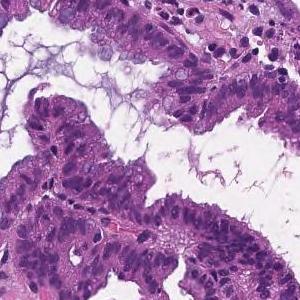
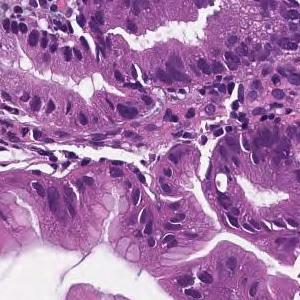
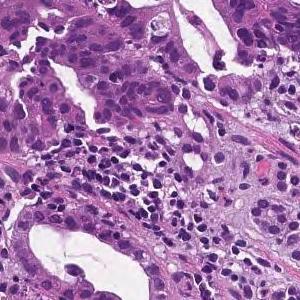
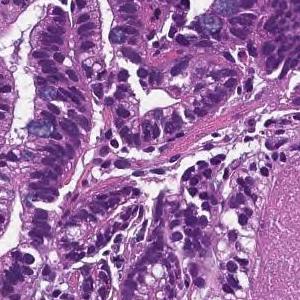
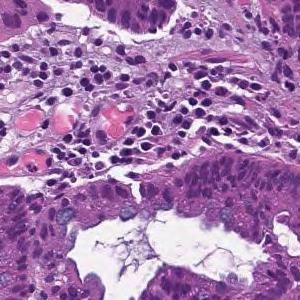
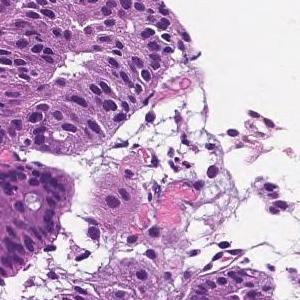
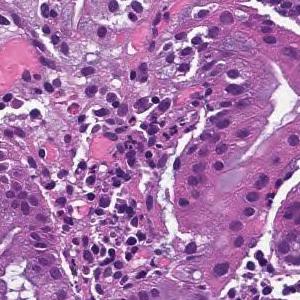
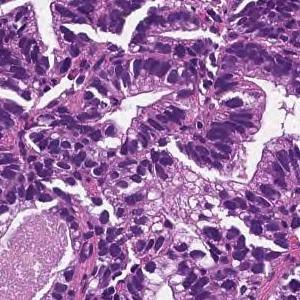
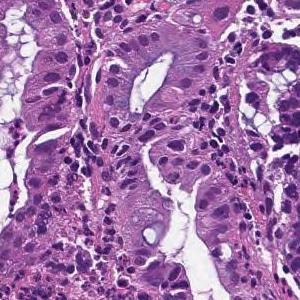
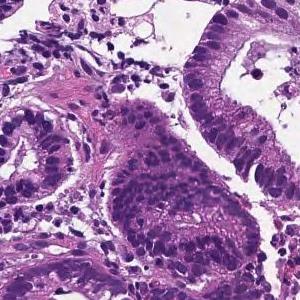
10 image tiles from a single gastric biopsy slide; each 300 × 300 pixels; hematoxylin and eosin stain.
Diagnostic report for the slide these tiles come from. The findings and the diagnosis refer to the entire slide; these tiles show only part of it, possibly with non-tumor tissue, and may not show every feature named.
From the superficial epithelium to the muscularis mucosae, tumor tissue consisting of medium-sized and irregular glandular ducts infiltrating is observed. Well differentiated tubular adenocarcinoma
